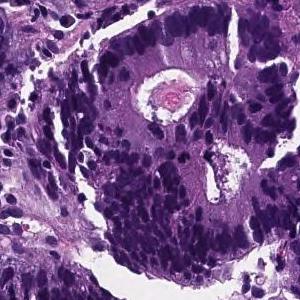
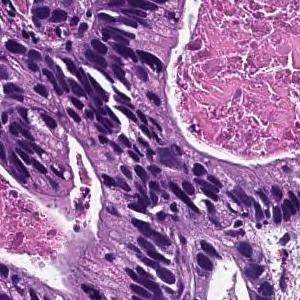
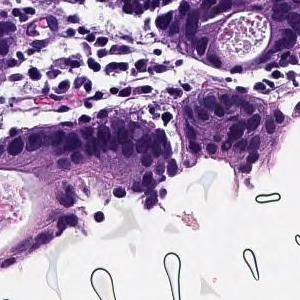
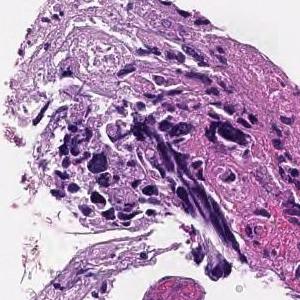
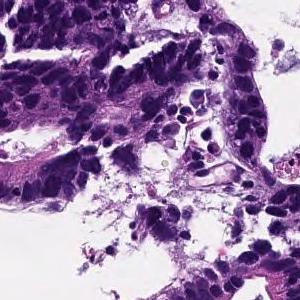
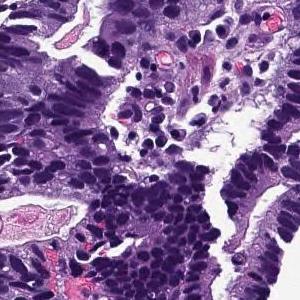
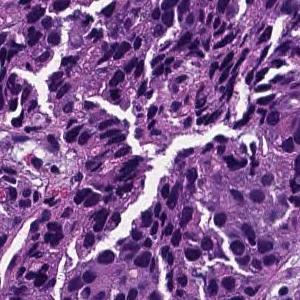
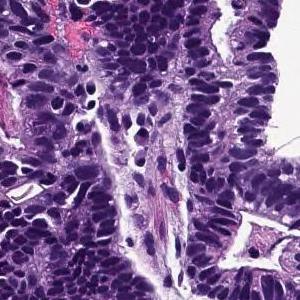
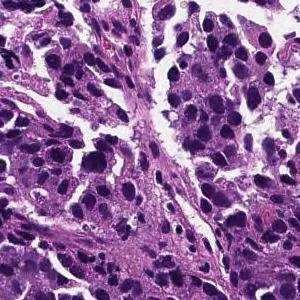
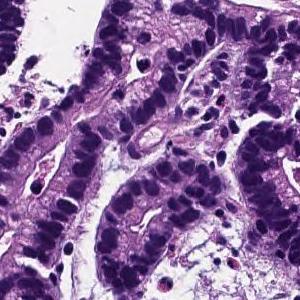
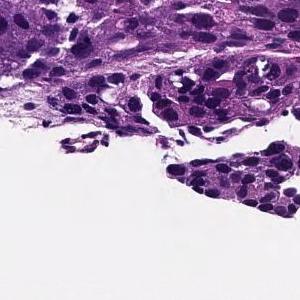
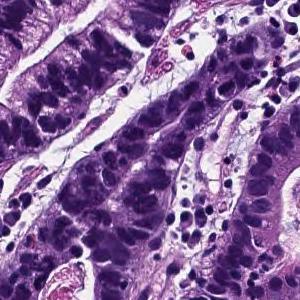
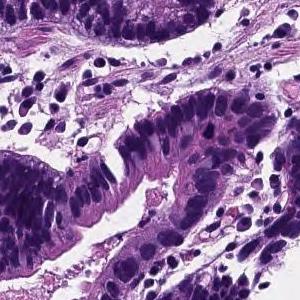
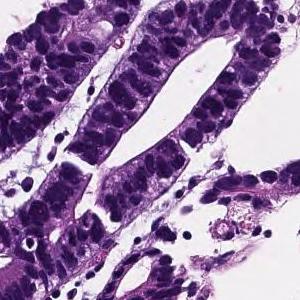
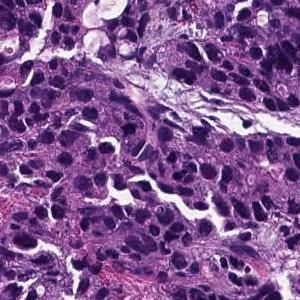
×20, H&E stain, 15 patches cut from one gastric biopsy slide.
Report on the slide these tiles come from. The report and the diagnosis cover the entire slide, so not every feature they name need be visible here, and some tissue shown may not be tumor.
From the superficial epithelium to the muscularis mucosae, tumor tissue consisting of medium-sized and irregular glandular ducts infiltrating is observed. Well differentiated tubular adenocarcinoma
